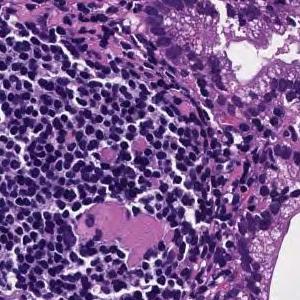
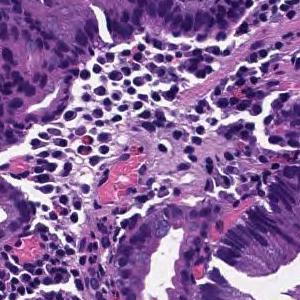
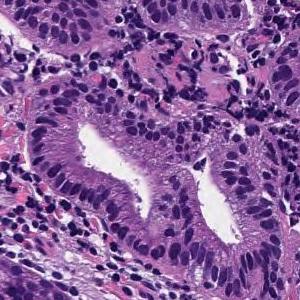
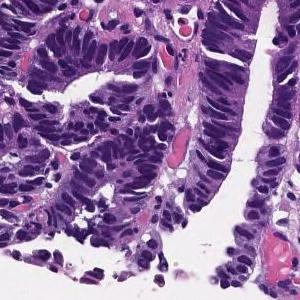
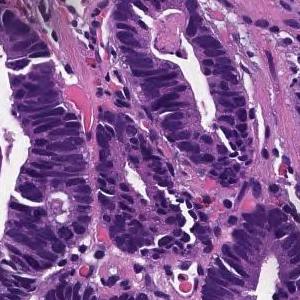
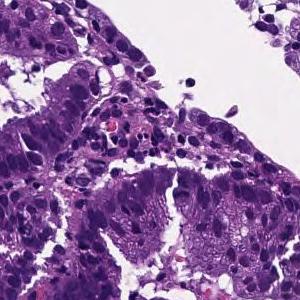
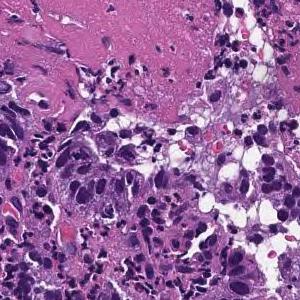
7 image tiles from a single gastric biopsy slide; 300 × 300 pixels each; hematoxylin and eosin stain; 20× magnification.
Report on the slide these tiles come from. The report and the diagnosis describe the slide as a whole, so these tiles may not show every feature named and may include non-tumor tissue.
From the superficial epithelium to the muscularis mucosae, tumor tissue consisting of medium-sized and irregular glandular ducts infiltrating is observed. Well differentiated tubular adenocarcinoma
